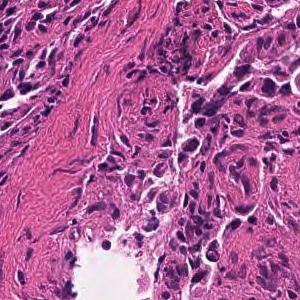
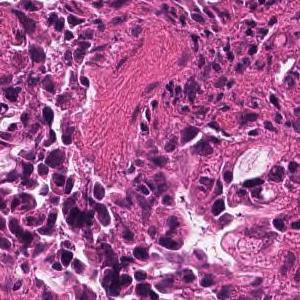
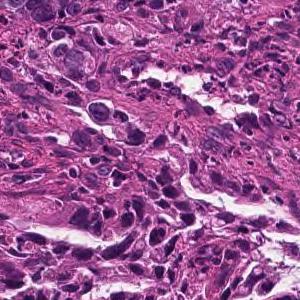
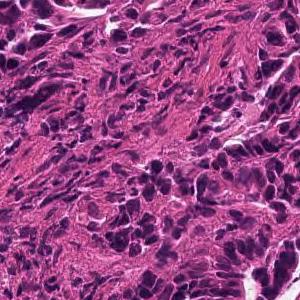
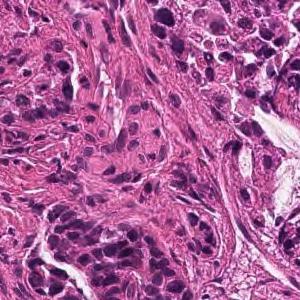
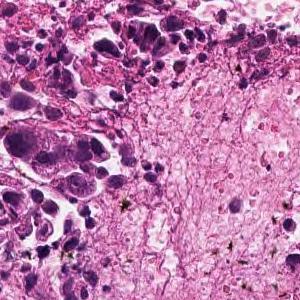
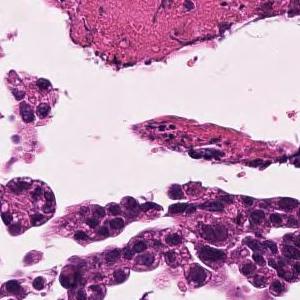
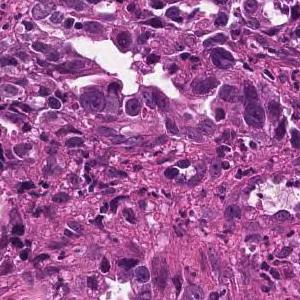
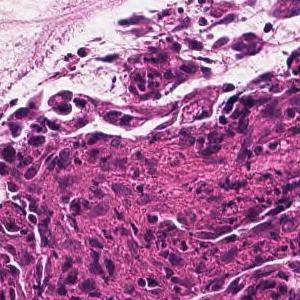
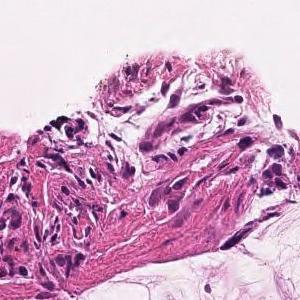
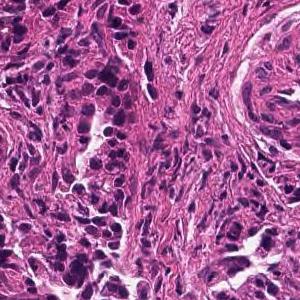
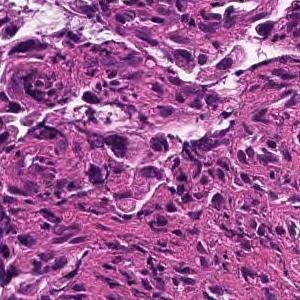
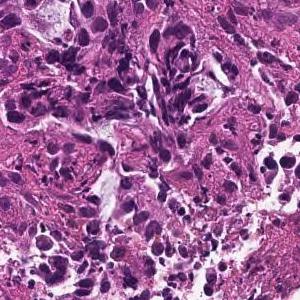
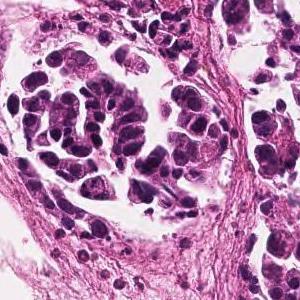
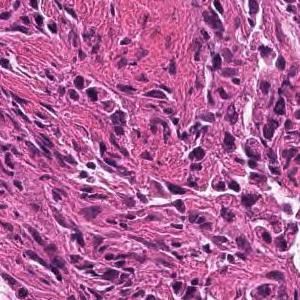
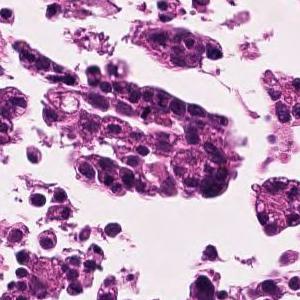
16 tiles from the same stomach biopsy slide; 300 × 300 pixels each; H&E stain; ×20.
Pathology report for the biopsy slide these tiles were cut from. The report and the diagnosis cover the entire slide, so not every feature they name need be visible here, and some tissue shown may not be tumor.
In the superficial epithelium, tumor tissue that invades by forming medium-sized to small, irregular ducts is observed. moderately differentiated tubular adenocarcinoma.
